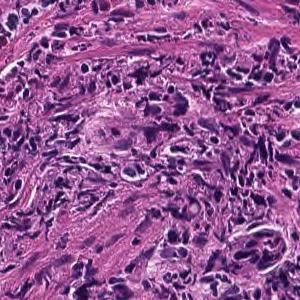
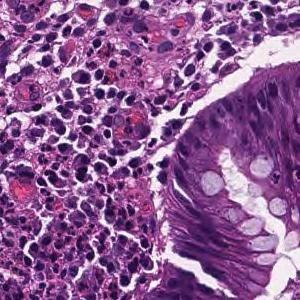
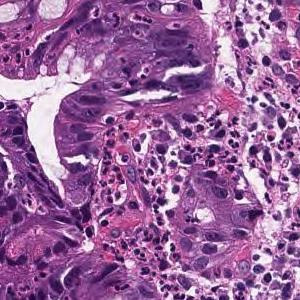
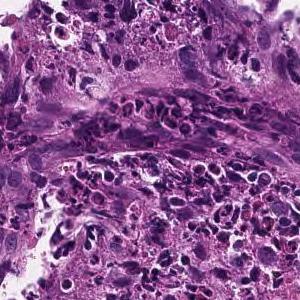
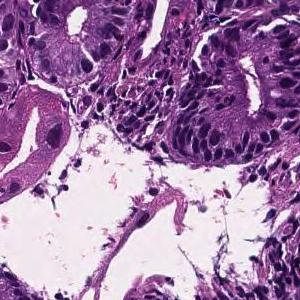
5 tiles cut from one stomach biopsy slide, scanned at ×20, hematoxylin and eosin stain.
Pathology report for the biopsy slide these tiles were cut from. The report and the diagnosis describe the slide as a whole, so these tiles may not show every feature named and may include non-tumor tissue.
On the superficial epithelium, tumor tissue consisting of large, irregular glandular ducts partially fused and infiltrated is observed. Well to moderately differentiated tubular adenocarcinoma (well differentiated tubular adenocarcinoma, moderately differentiated tubular adenocarcinoma)
Subtype: Well to moderately differentiated tubular adenocarcinoma.
